×20, H&E, 7 tiles cut from one stomach biopsy slide.
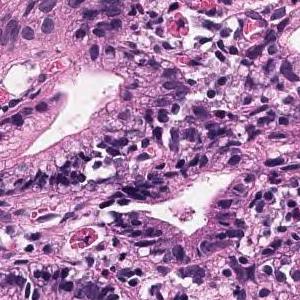
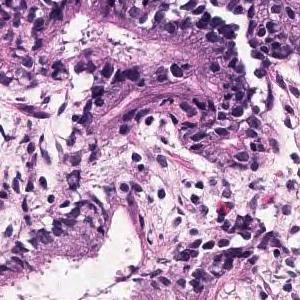
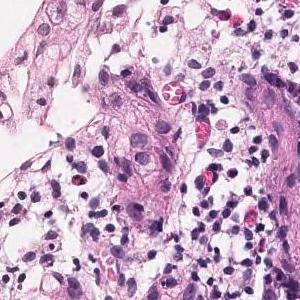
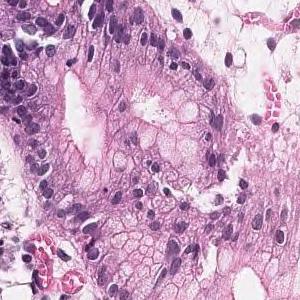
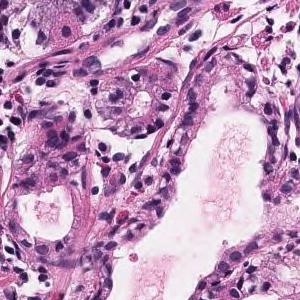
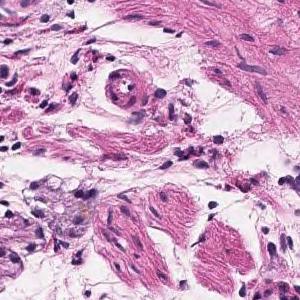
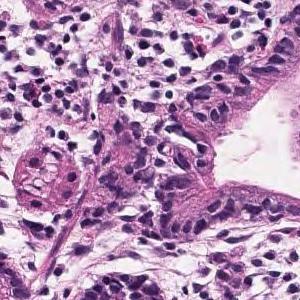
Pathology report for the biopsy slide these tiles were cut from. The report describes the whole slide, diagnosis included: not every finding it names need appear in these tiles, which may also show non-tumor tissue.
Tumor tissue that grows and grows is observed, showing a medium-sized round or irregular duct. moderately differentiated tubular adenocarcinoma
